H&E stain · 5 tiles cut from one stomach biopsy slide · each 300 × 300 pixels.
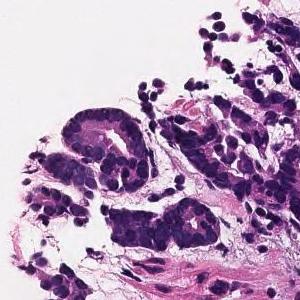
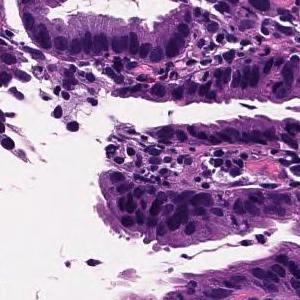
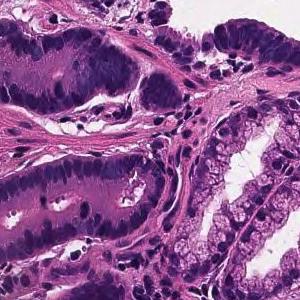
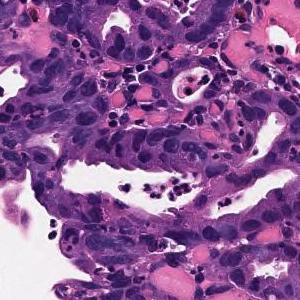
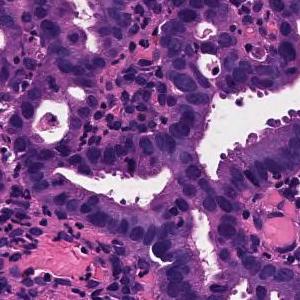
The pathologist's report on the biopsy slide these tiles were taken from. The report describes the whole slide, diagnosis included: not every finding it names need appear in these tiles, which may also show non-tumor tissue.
On the superficial epithelium, tumor tissue is found in which medium-sized irregular gland ducts fuse with each other and infiltrate. moderately differentiated tubular adenocarcinoma
